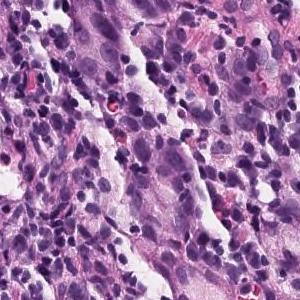
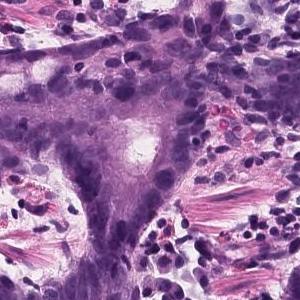
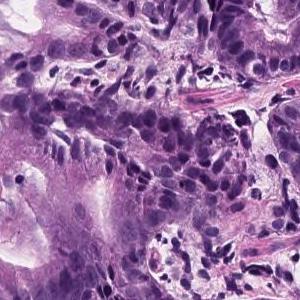
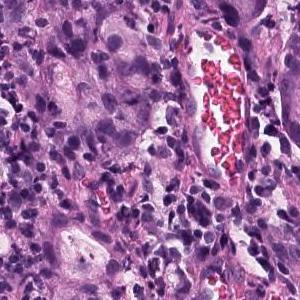
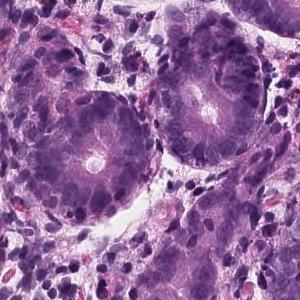
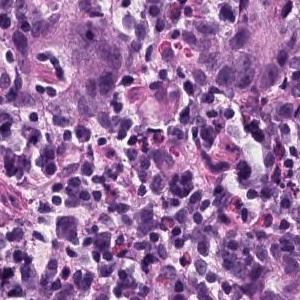
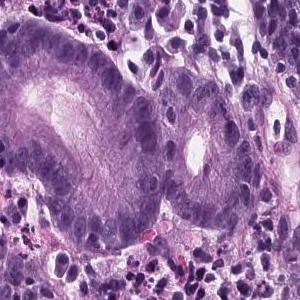
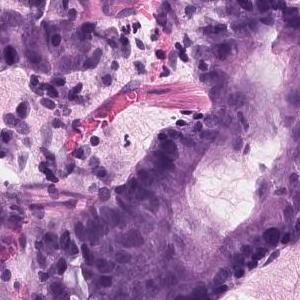
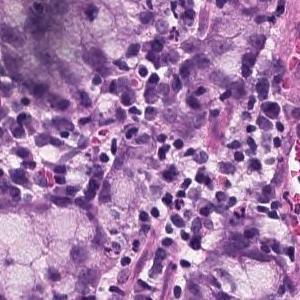
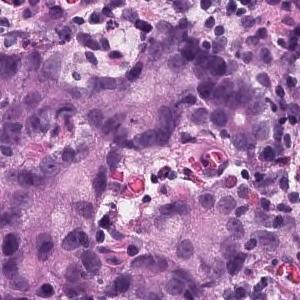
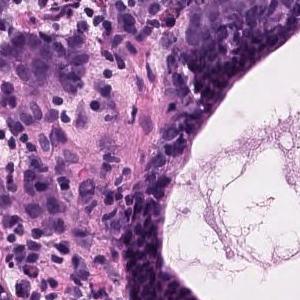
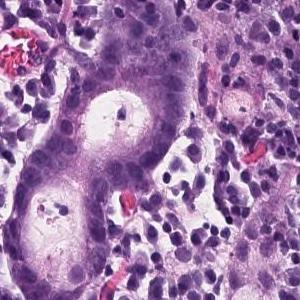
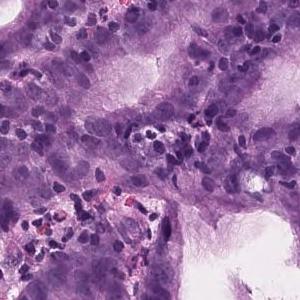
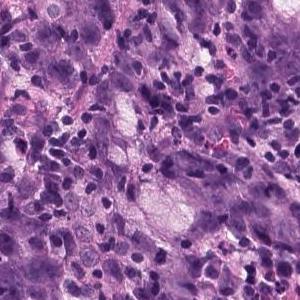
14 patches cut from one gastric biopsy slide, 300 × 300 pixels each.
The pathologist's report on the biopsy slide these tiles were taken from. The report describes the whole slide, diagnosis included: not every finding it names need appear in these tiles, which may also show non-tumor tissue.
In the superficial epithelium, tumor tissue that invades by forming medium-sized to small, irregular ducts is observed. Moderately differentiated adenocarcinoma.
Histological subtype: Moderately differentiated tubular adenocarcinoma.
